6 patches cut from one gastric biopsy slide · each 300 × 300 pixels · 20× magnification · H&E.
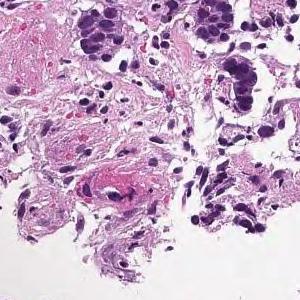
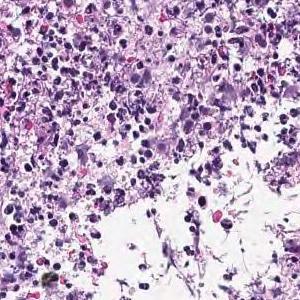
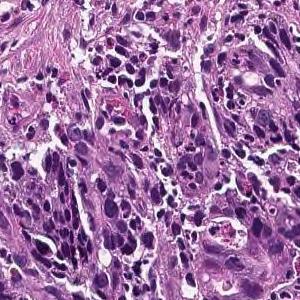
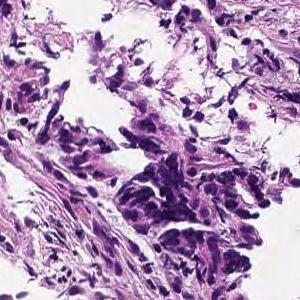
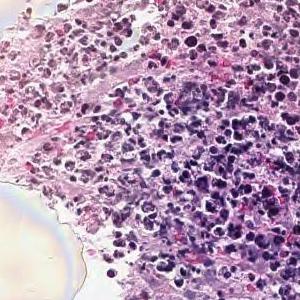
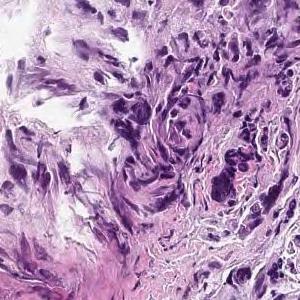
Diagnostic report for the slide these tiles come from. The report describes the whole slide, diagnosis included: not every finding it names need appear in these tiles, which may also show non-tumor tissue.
In the superficial epithelium, tumor tissue that invades by forming medium-sized to small, irregular ducts is observed. moderately differentiated tubular adenocarcinoma.
